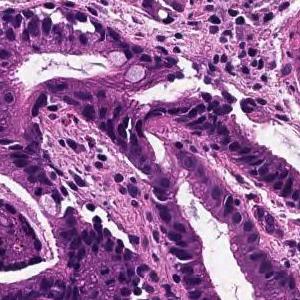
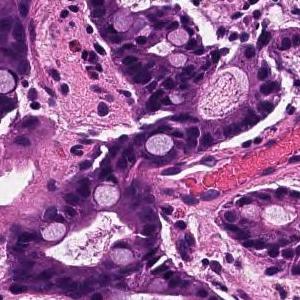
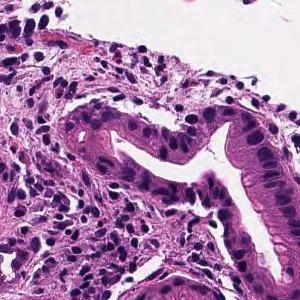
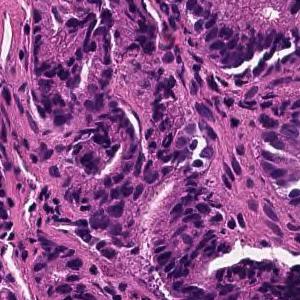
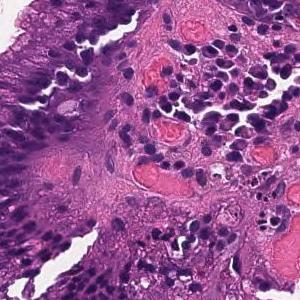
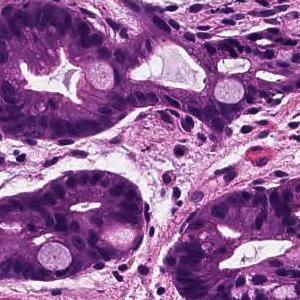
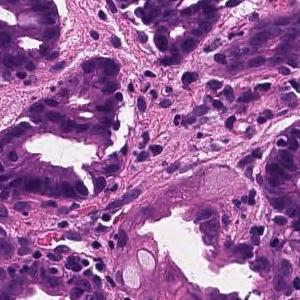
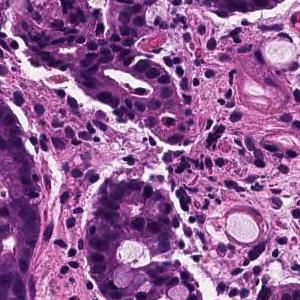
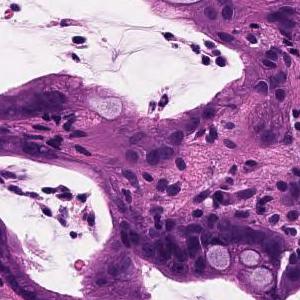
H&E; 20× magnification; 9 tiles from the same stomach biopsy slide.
Pathology report for the biopsy slide these tiles were cut from. What the report and the diagnosis say applies to the whole slide; these tiles may miss some of the features named and may include tissue that is not tumor.
From the superficial epithelium to the muscularis mucosae, tumor tissue consisting of medium-sized and irregular glandular ducts infiltrating is observed. Well differentiated tubular adenocarcinoma
